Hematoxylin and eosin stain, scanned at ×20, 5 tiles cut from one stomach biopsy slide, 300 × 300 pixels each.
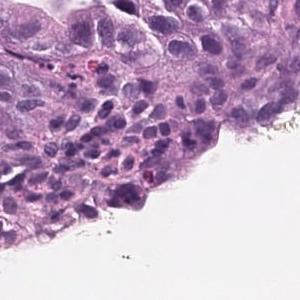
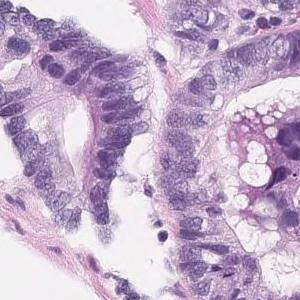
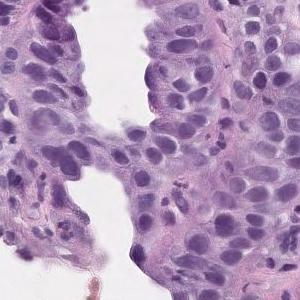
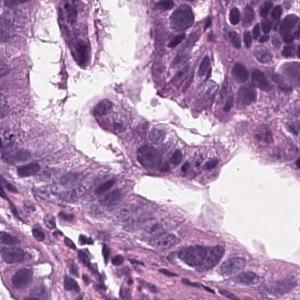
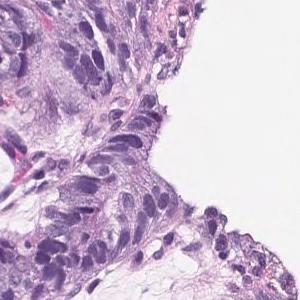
Pathology report for the biopsy slide these tiles were cut from. The findings and the diagnosis refer to the entire slide; these tiles show only part of it, possibly with non-tumor tissue, and may not show every feature named.
Tumor tissue consisting of medium-sized and irregular ducts is observed infiltrating in the superficial epithelium. Tumor cells are highly columnar, with nuclei aligned basolaterally and polarized. Well differentiated tubular adenocarcinoma.
